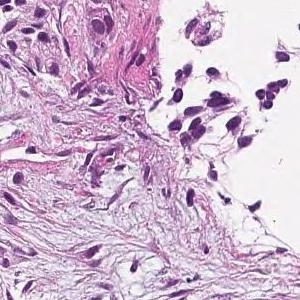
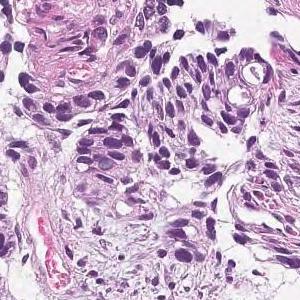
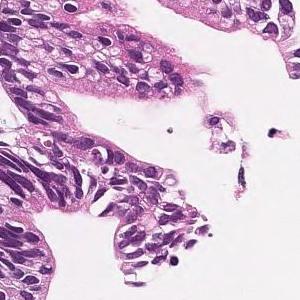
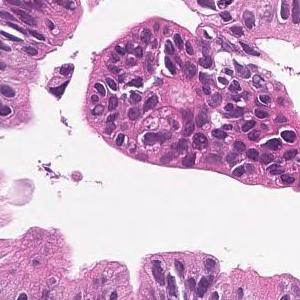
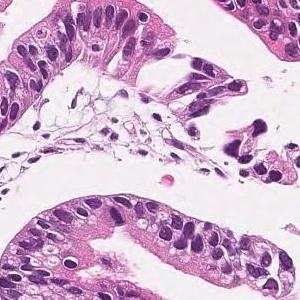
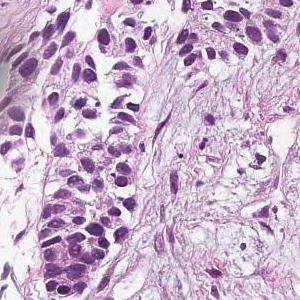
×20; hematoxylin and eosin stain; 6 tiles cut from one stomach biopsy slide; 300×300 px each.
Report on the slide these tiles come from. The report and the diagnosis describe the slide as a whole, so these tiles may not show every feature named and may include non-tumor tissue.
Medium to small, irregular glandular ducts are formed in the superficial epithelium, and in some cases, the glandular ducts are fused to show solid alveolar lesions and infiltrating tumor tissue is observed. Moderately to poorly differentiated adenocarcinoma.
